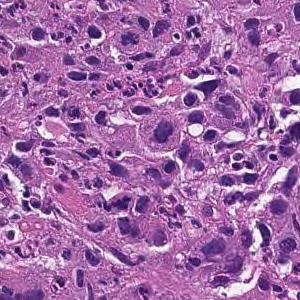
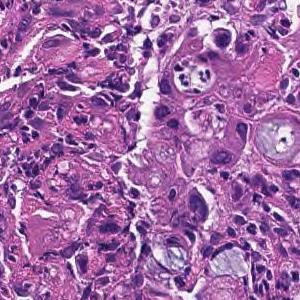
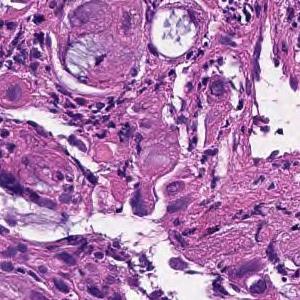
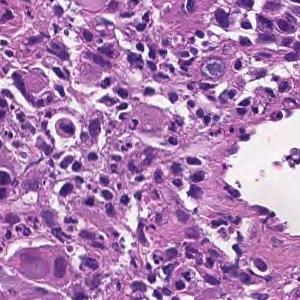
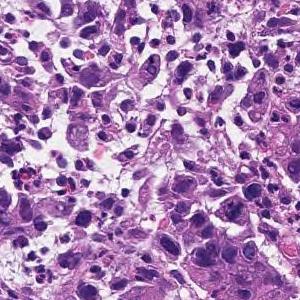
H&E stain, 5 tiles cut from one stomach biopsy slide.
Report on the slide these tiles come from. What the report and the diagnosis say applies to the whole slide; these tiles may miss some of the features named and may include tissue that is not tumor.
The superficial epithelium shows a large sheet-like shape, and some tumor tissue infiltrates with small irregular ducts. Poorly differentiated adenocarcinoma, solid-type
Classified as poorly differentiated adenocarcinoma, solid type (Japanese Classification of Gastric Carcinoma). The WHO 2019 equivalent is tubular adenocarcinoma, poorly differentiated.
